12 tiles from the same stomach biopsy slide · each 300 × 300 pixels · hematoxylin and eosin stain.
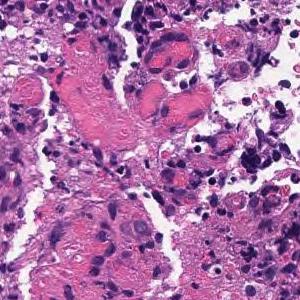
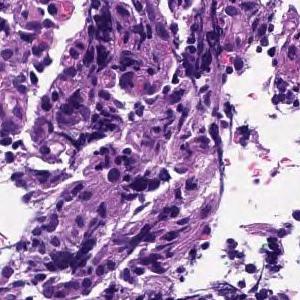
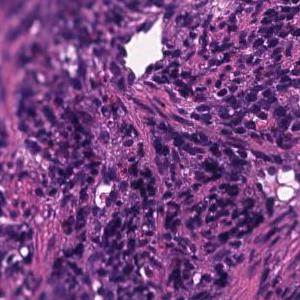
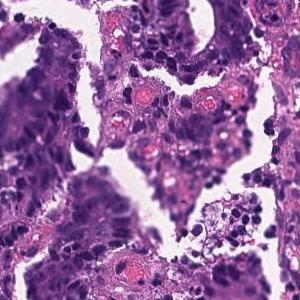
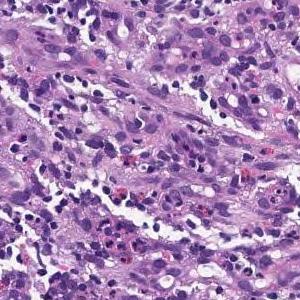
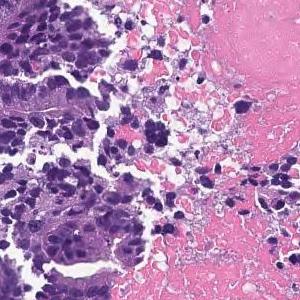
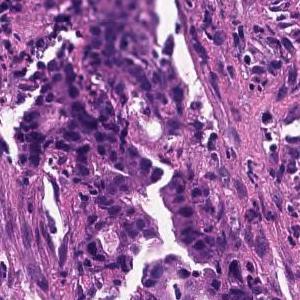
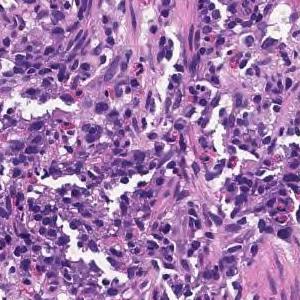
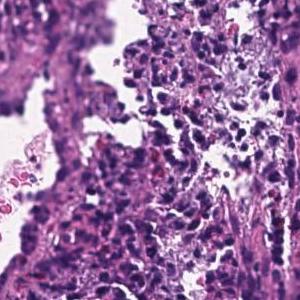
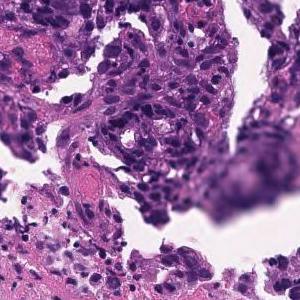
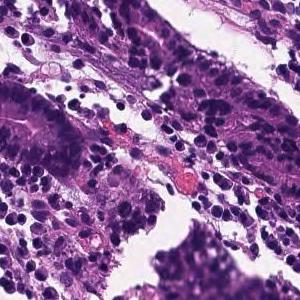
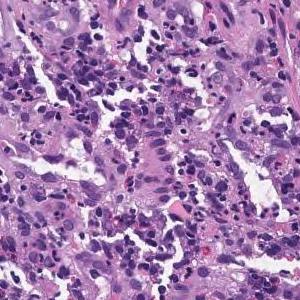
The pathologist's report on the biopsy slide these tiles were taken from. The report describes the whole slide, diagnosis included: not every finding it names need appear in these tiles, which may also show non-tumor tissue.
On the superficial epithelium, tumor tissue consisting of large irregular glandular ducts partially fused and infiltrated is observed. Well to moderately differentiated tubular adenocarcinoma (well differentiated tubular adenocarcinoma, moderately differentiated tubular adenocarcinoma)
Subtype: Well to moderately differentiated tubular adenocarcinoma.
